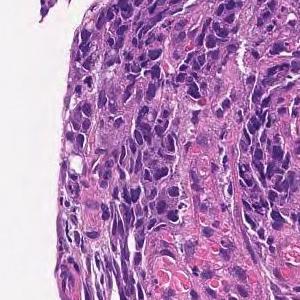
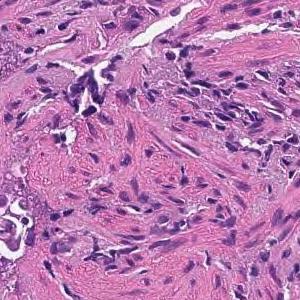
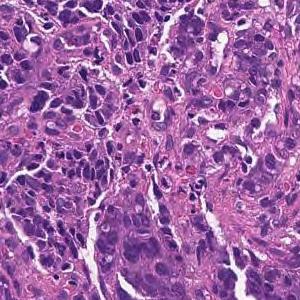
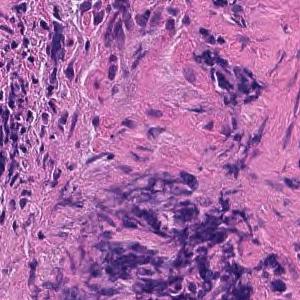
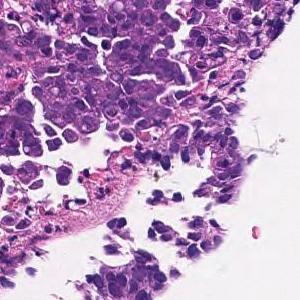
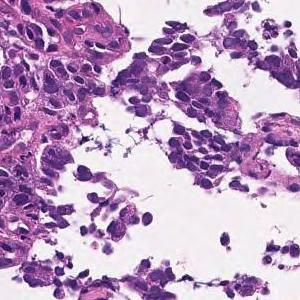
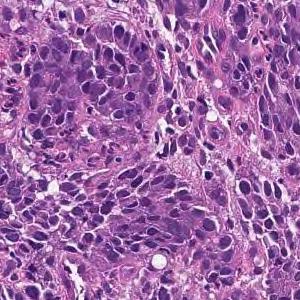
×20 · 7 image tiles from a single gastric biopsy slide · 300 × 300 pixels each.
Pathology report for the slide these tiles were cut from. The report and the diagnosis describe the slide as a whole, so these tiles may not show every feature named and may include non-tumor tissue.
Tumor tissue consisting of cord-like or small, irregular glandular ducts fused and infiltrated is observed in the superficial epithelium. Poorly differentiated adenocarcinoma, non-solid type
"Non-solid type" is a category of the Japanese Classification of Gastric Carcinoma.
